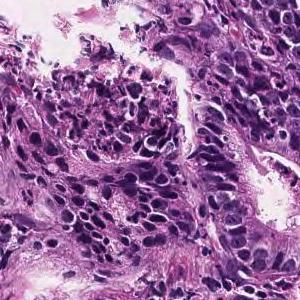
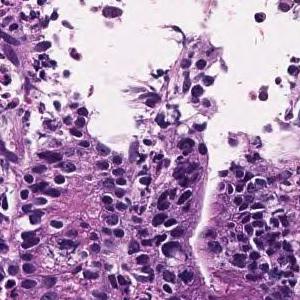
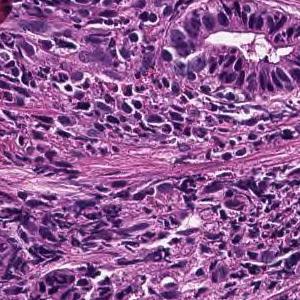
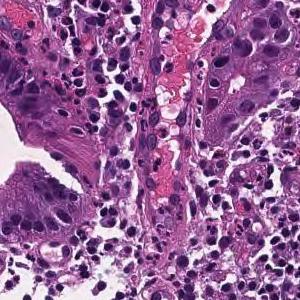
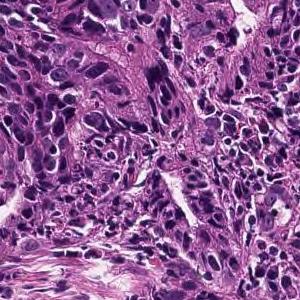
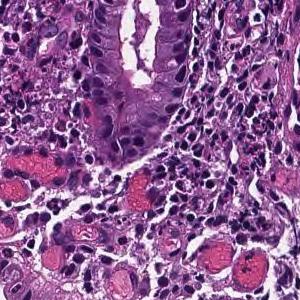
6 patches cut from one gastric biopsy slide; 300 × 300 pixels each; ×20.
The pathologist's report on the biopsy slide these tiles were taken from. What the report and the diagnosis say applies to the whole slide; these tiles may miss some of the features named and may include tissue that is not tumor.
On the superficial epithelium, tumor tissue consisting of large, irregular glandular ducts partially fused and infiltrated is observed. Well to moderately differentiated tubular adenocarcinoma (well differentiated tubular adenocarcinoma, moderately differentiated tubular adenocarcinoma)
Histologic type: Well to moderately differentiated tubular adenocarcinoma.
